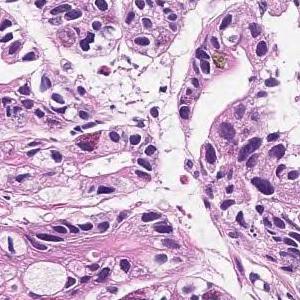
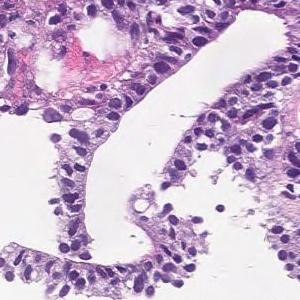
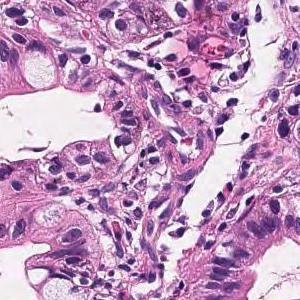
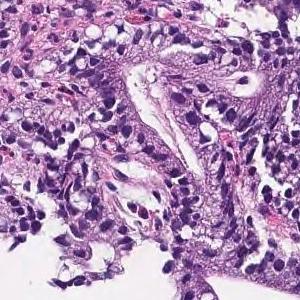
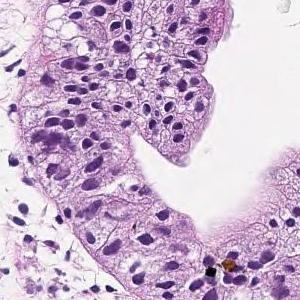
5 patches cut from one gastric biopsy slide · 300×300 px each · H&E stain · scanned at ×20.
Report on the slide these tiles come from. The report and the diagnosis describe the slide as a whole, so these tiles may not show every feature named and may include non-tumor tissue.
In the superficial epithelium, tumor tissue that invades by forming medium-sized to small, irregular ducts is observed. Moderately differentiated adenocarcinoma.
Histologic type: Moderately differentiated tubular adenocarcinoma.
